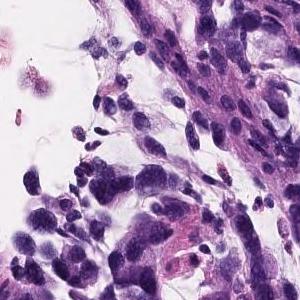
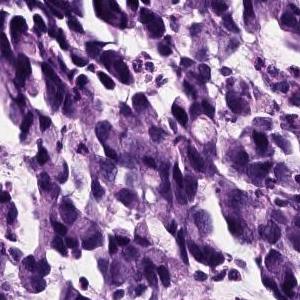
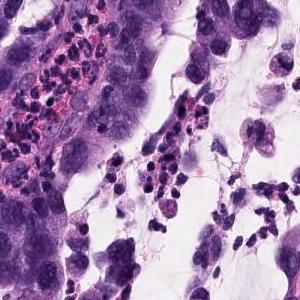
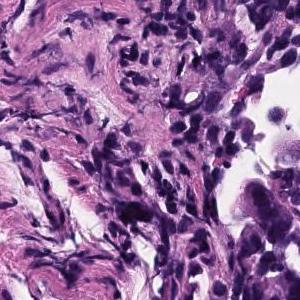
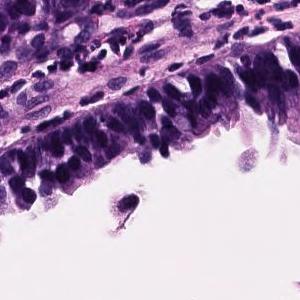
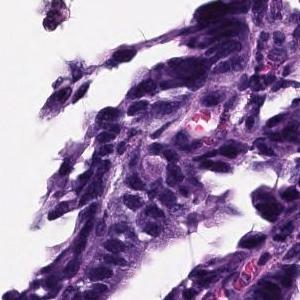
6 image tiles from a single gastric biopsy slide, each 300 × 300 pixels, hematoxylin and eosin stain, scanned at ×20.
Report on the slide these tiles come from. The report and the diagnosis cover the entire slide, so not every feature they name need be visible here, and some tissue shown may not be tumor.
Atypical epithelium proliferating showing villus construction and irregular gland duct construction is observed. Moderately differentiated tubular adenocarcinoma.
